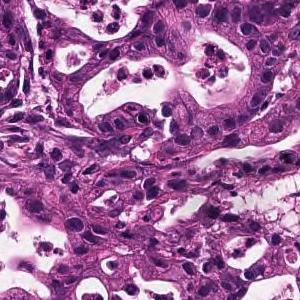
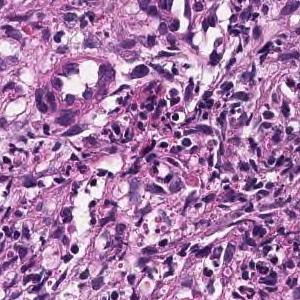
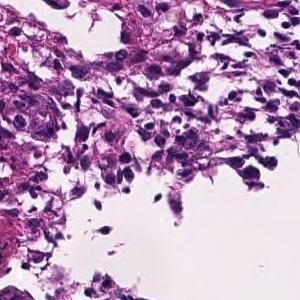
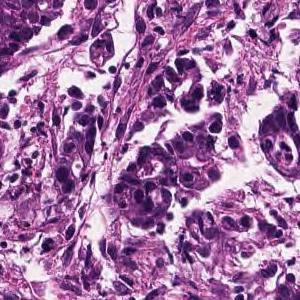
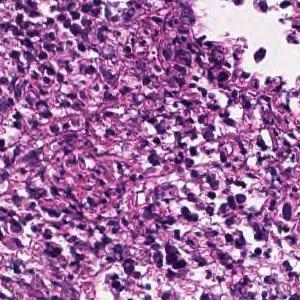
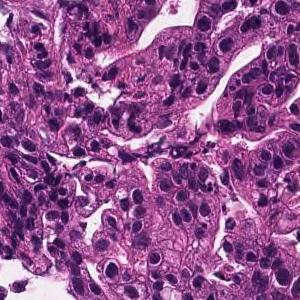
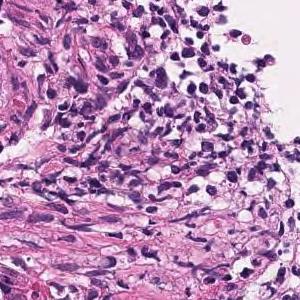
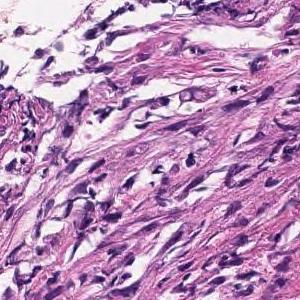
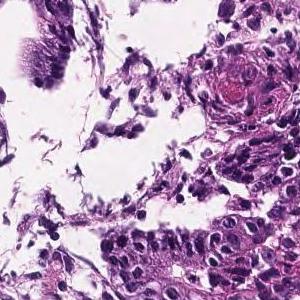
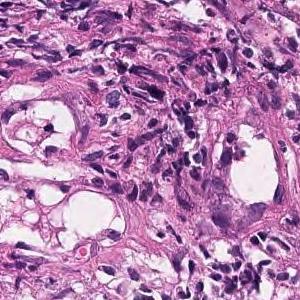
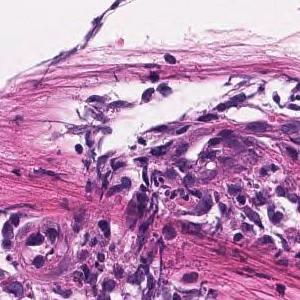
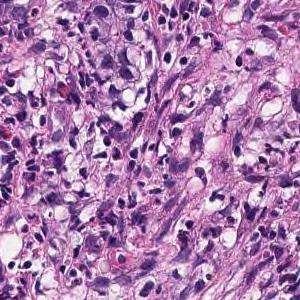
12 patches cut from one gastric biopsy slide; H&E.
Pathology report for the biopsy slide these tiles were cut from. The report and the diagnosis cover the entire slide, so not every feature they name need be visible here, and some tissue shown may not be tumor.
In the superficial epithelium, medium to small, irregular gland ducts are formed, and in some cases, the gland ducts are fused to show solid alveolar lesions and infiltrating tumor tissue is observed. Moderately to poorly differentiated adenocarcinoma.
